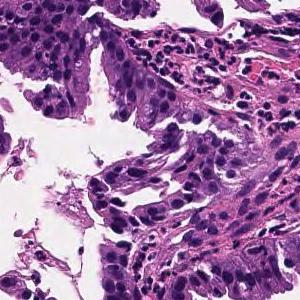
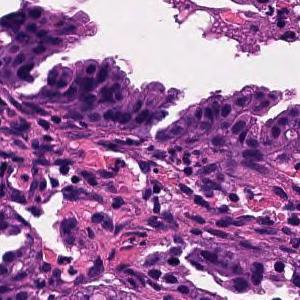
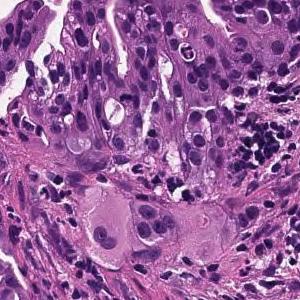
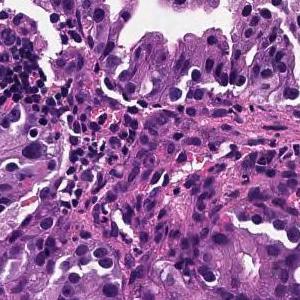
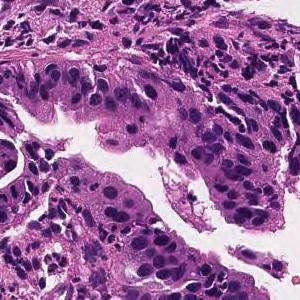
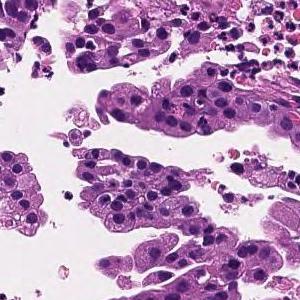
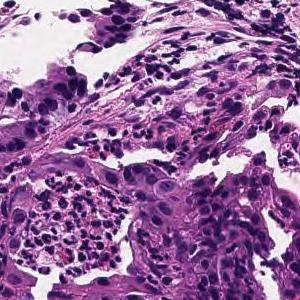
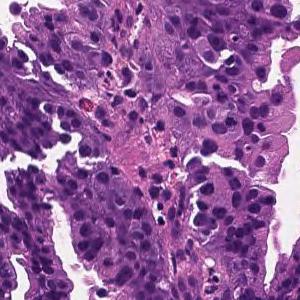
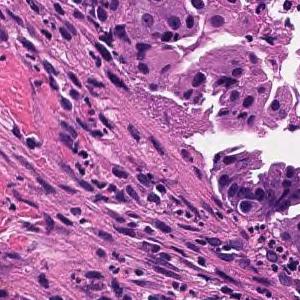
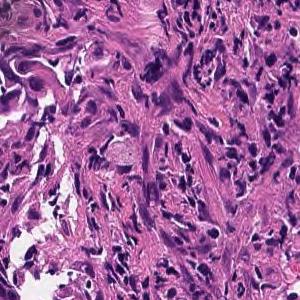
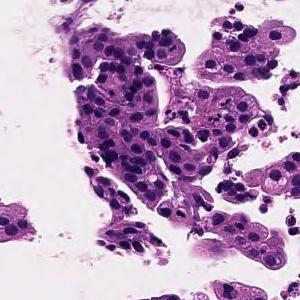
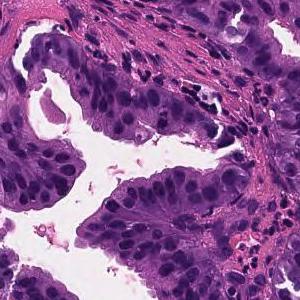
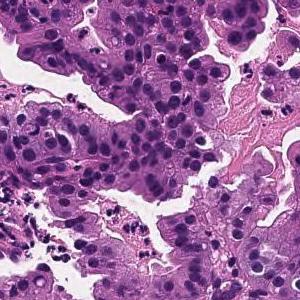
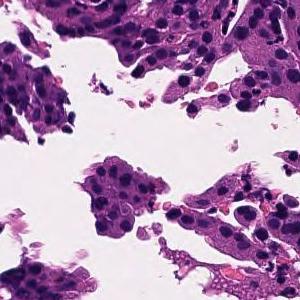
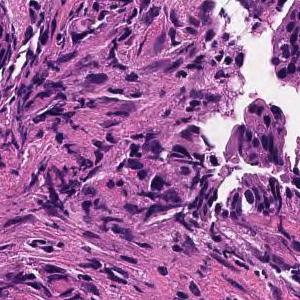
15 tiles cut from one stomach biopsy slide; 300×300 px each; H&E stain.
Pathology report for the slide these tiles were cut from. Both the report and the diagnosis are for the whole slide: these tiles need not show every feature named, and some of the tissue shown may not be tumor.
On the superficial epithelium, tumor tissue consisting of large, irregular glandular ducts partially fused and infiltrated is observed. Well to moderately differentiated tubular adenocarcinoma (well differentiated tubular adenocarcinoma, moderately differentiated tubular adenocarcinoma)
Subtype: Well to moderately differentiated tubular adenocarcinoma.
